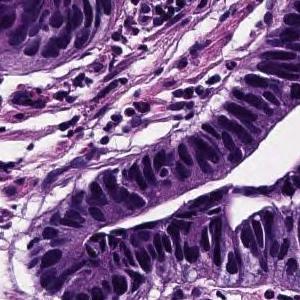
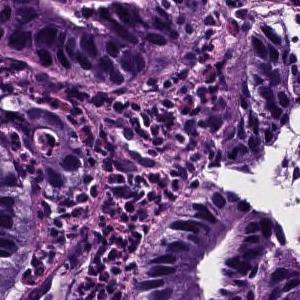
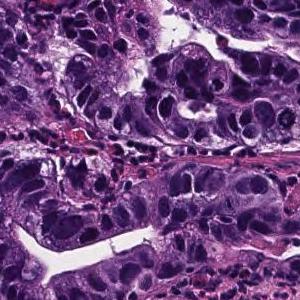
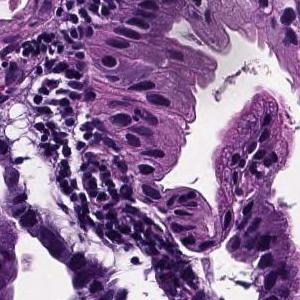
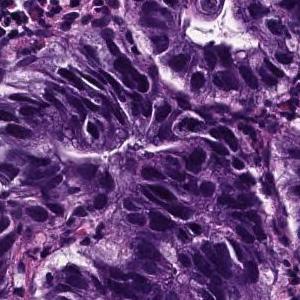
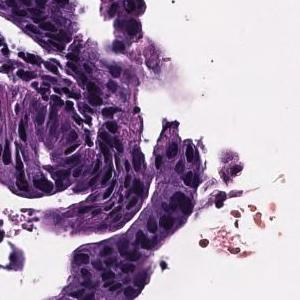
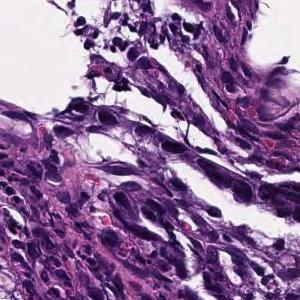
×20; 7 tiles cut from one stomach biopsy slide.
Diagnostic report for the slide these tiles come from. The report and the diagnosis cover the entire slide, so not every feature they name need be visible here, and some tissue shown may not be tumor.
In the superficial epithelium, tumor tissue that invades by forming medium-sized to small, irregular ducts is observed. Moderately differentiated adenocarcinoma.
Subtype: Moderately differentiated tubular adenocarcinoma.
